Scanned at ×20, hematoxylin and eosin stain, 14 patches cut from one gastric biopsy slide.
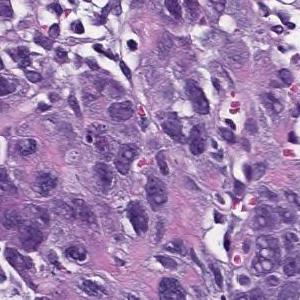
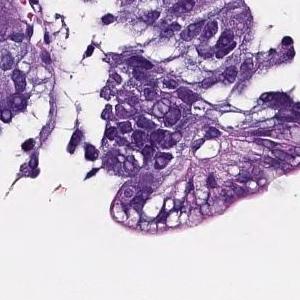
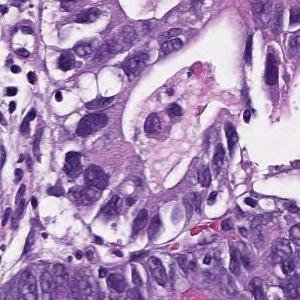
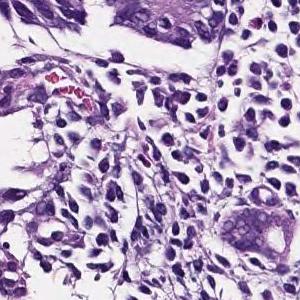
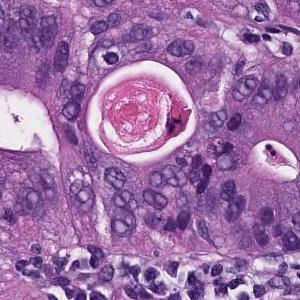
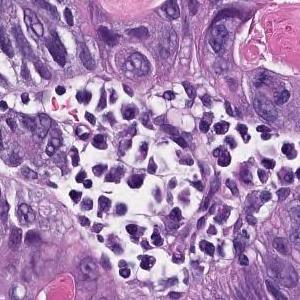
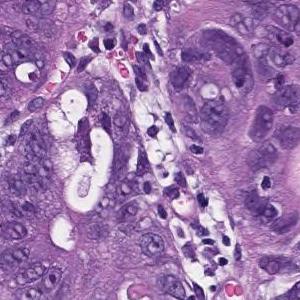
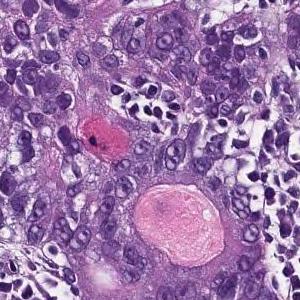
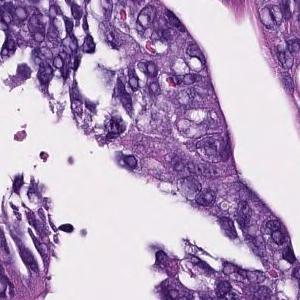
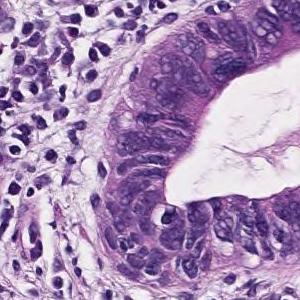
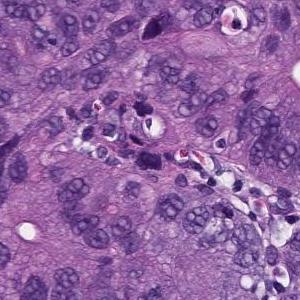
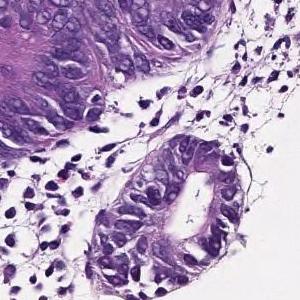
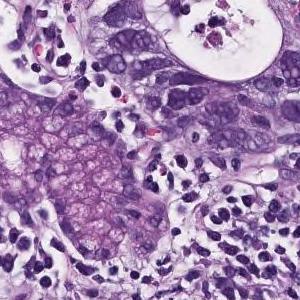
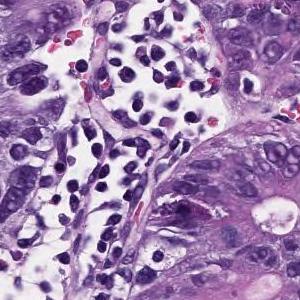
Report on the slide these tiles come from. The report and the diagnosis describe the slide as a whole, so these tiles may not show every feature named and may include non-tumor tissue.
In the superficial epithelium, tumor tissue that invades by forming medium-sized to small, irregular ducts is observed. moderately differentiated tubular adenocarcinoma.
